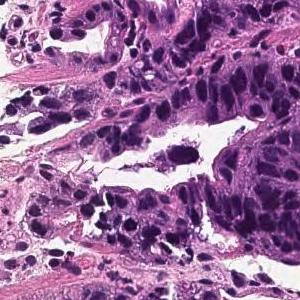
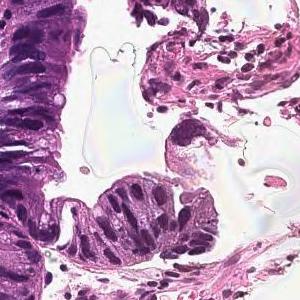
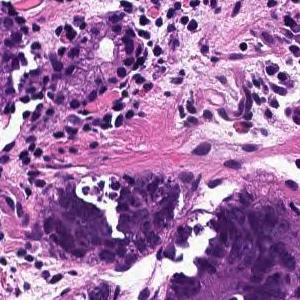
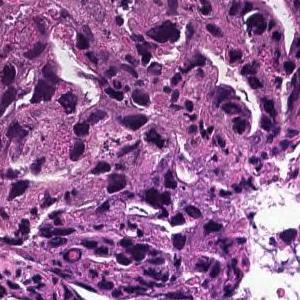
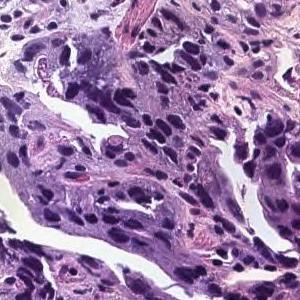
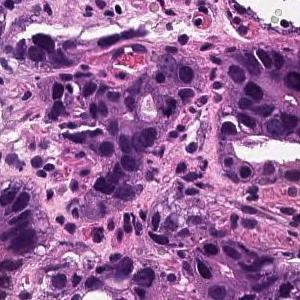
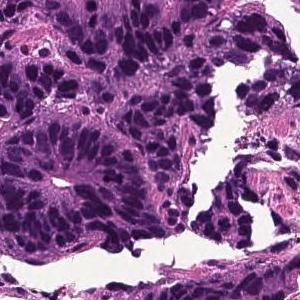
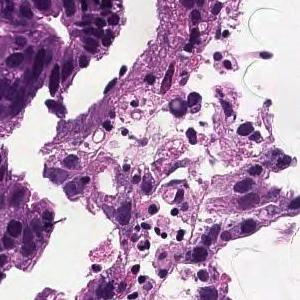
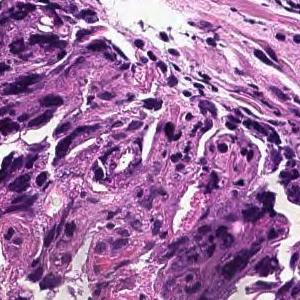
9 tiles from the same stomach biopsy slide.
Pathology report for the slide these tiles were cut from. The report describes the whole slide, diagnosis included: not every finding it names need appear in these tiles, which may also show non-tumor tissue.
In the superficial epithelium, tumor tissue that invades by forming medium-sized to small, irregular ducts is observed. moderately differentiated tubular adenocarcinoma.
